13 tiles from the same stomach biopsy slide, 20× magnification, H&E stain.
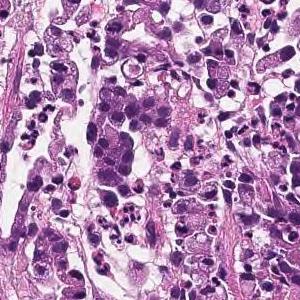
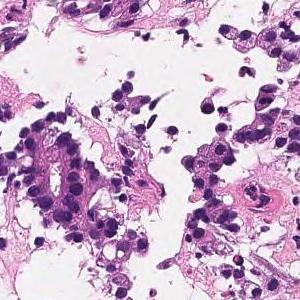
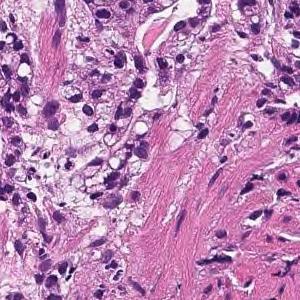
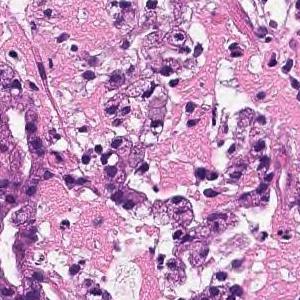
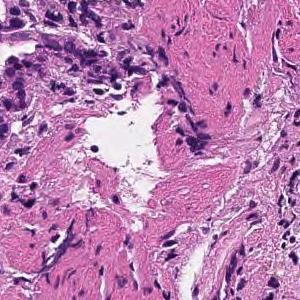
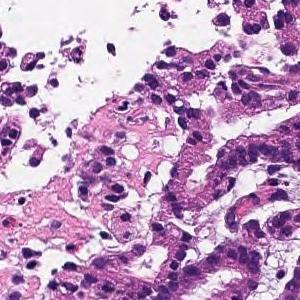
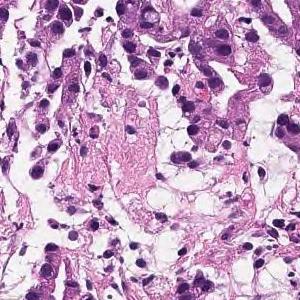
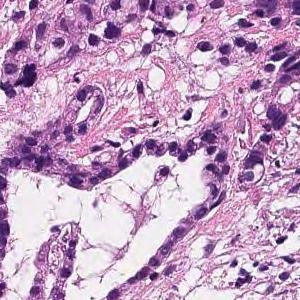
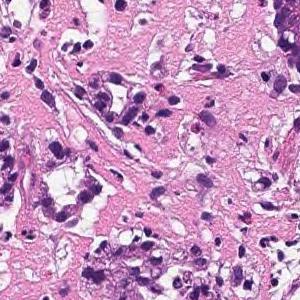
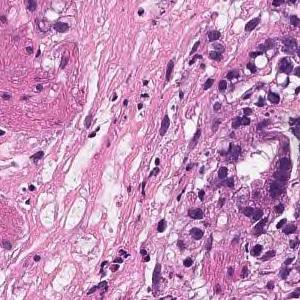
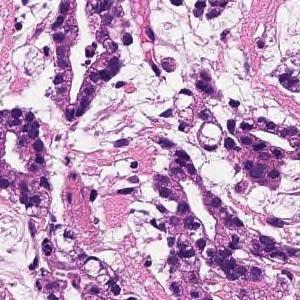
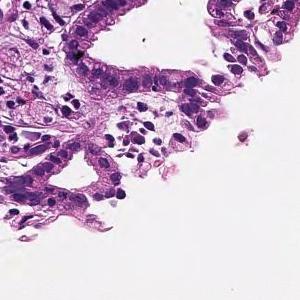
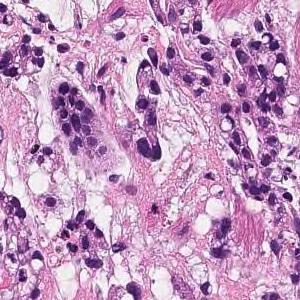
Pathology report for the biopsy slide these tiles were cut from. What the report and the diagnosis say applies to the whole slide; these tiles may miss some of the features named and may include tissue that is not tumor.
In the superficial epithelium, tumor tissue that invades by forming medium-sized to small, irregular ducts is observed. moderately differentiated tubular adenocarcinoma.
